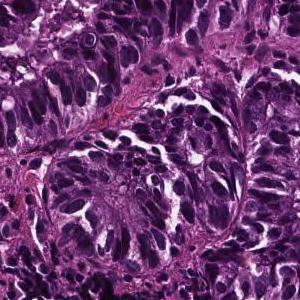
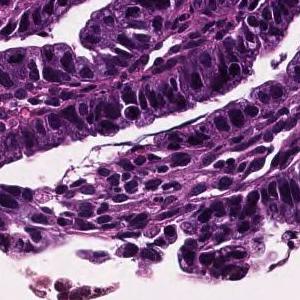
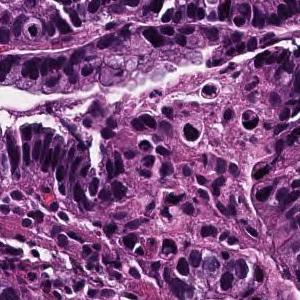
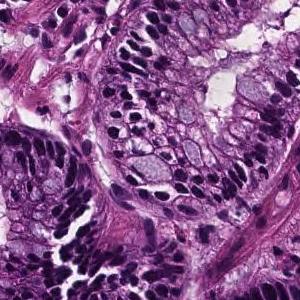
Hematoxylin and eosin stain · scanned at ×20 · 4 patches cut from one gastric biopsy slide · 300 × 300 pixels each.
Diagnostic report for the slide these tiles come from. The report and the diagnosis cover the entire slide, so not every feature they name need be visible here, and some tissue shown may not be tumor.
In the superficial epithelium, tumor tissue that invades by forming medium-sized to small, irregular ducts is observed. Well differentiated tubular adenocarcinoma.
